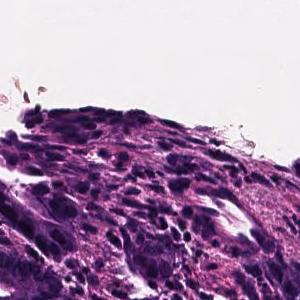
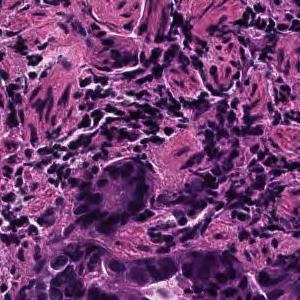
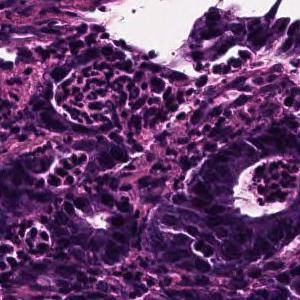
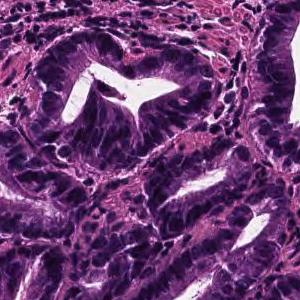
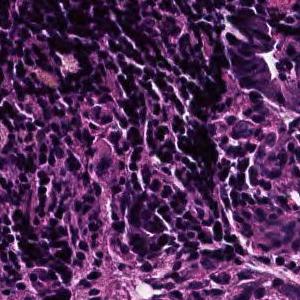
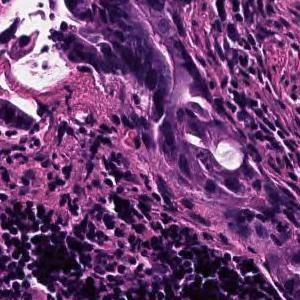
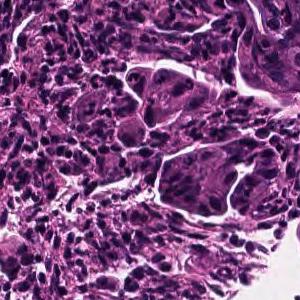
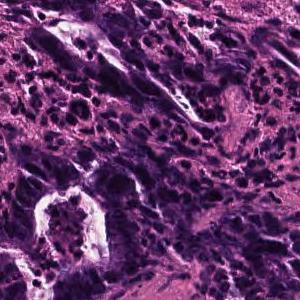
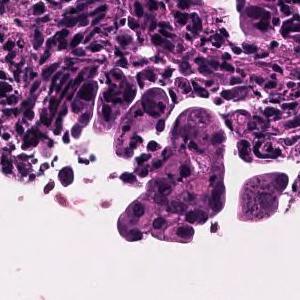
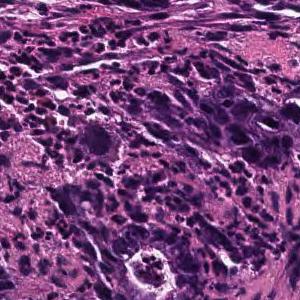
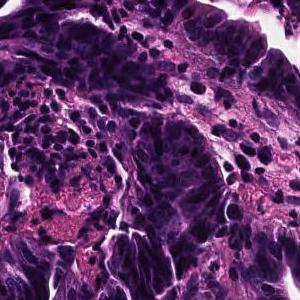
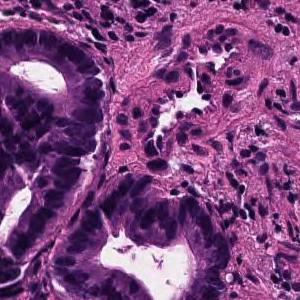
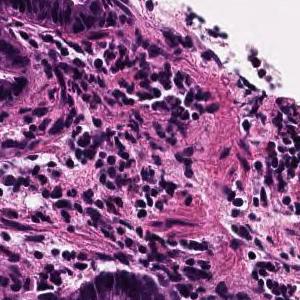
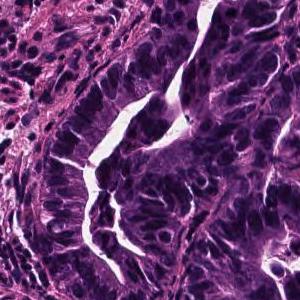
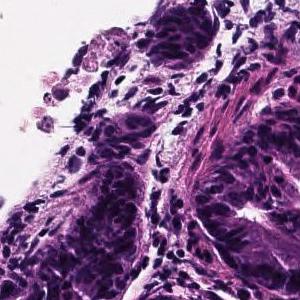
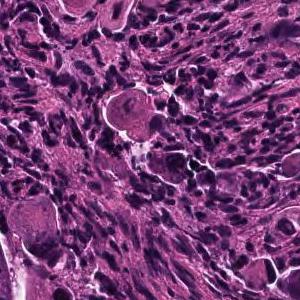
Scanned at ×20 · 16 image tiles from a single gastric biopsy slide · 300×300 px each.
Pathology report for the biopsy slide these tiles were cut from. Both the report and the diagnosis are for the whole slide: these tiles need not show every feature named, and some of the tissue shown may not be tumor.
On the superficial epithelium, tumor tissue consisting of large, irregular glandular ducts partially fused and infiltrated is observed. Well to moderately differentiated tubular adenocarcinoma (well differentiated tubular adenocarcinoma, moderately differentiated tubular adenocarcinoma)
Subtype: Well to moderately differentiated tubular adenocarcinoma.
